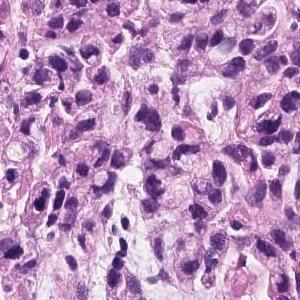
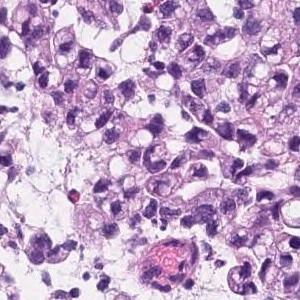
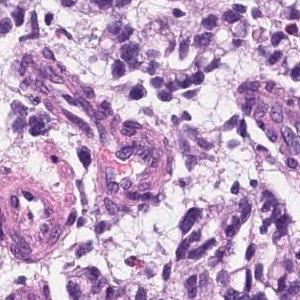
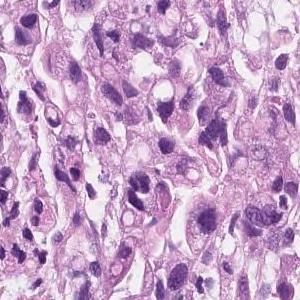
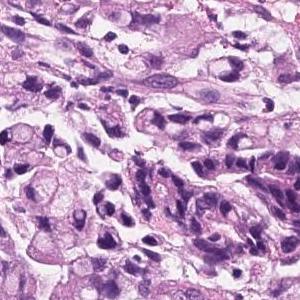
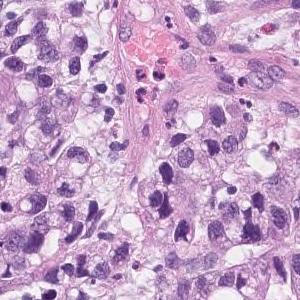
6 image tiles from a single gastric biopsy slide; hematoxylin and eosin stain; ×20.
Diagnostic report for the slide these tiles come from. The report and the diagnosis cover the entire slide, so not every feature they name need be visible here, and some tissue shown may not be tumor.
Group 5, Adenocarcinoma. Poorly differentiated adenocarcinoma, non-solid type
The term "non-solid type" comes from the Japanese Classification of Gastric Carcinoma.
